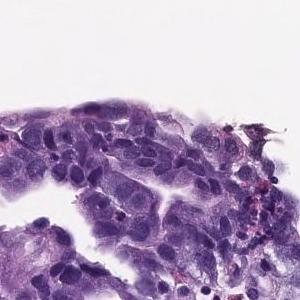
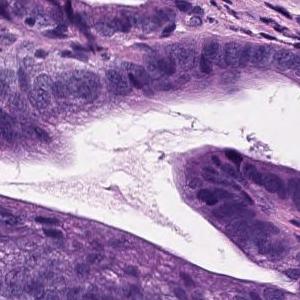
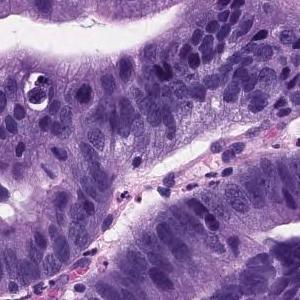
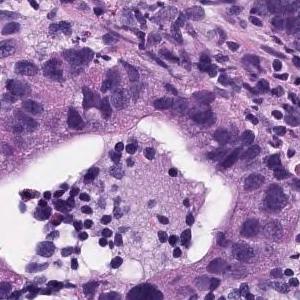
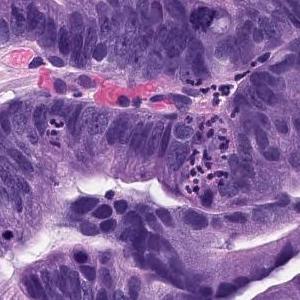
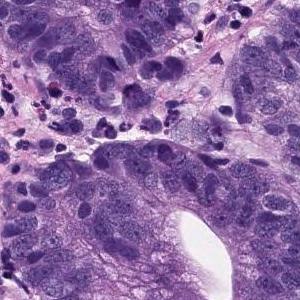
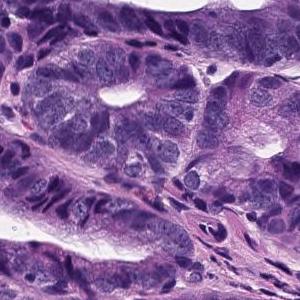
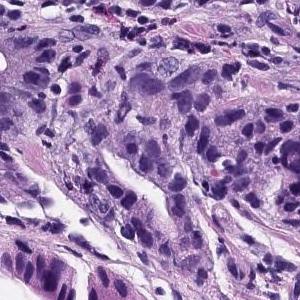
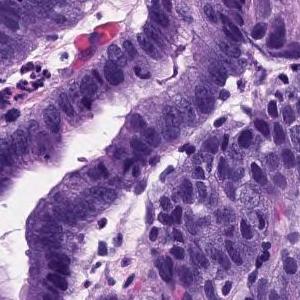
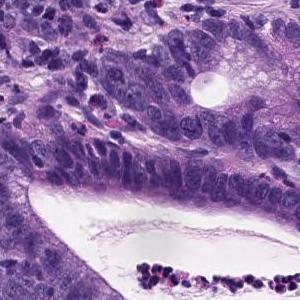
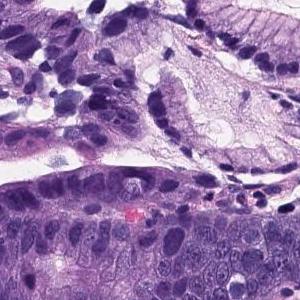
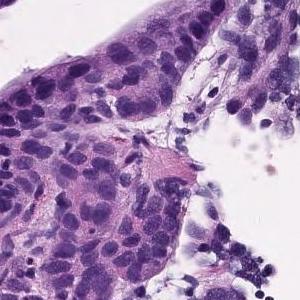
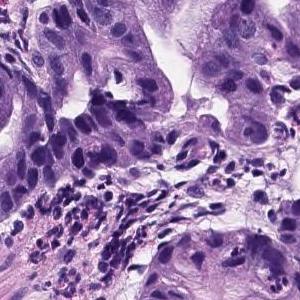
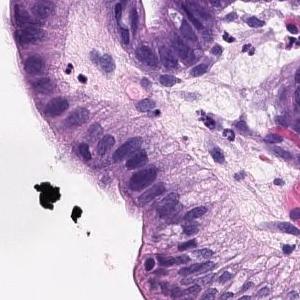
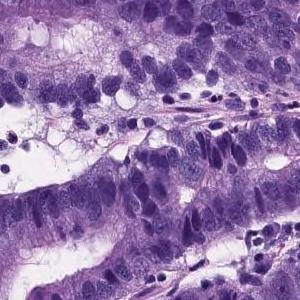
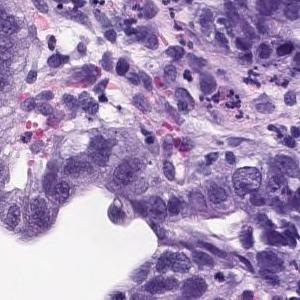
16 tiles cut from one stomach biopsy slide.
The pathologist's report on the biopsy slide these tiles were taken from. The findings and the diagnosis refer to the entire slide; these tiles show only part of it, possibly with non-tumor tissue, and may not show every feature named.
Tumor tissue consisting of large papillary structures is found in the superficial epithelium. Papillary adenocarcinoma.
